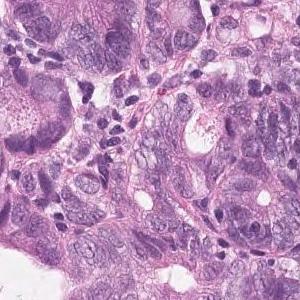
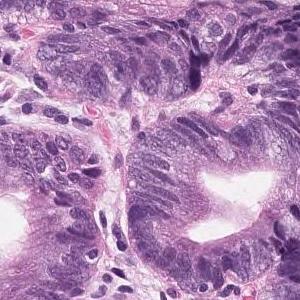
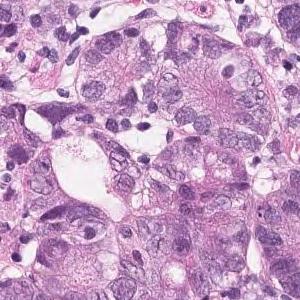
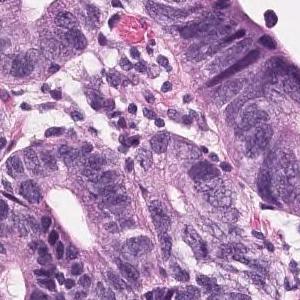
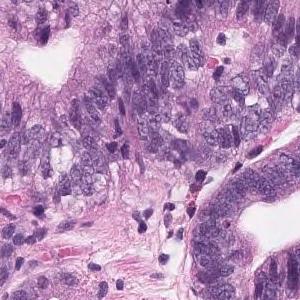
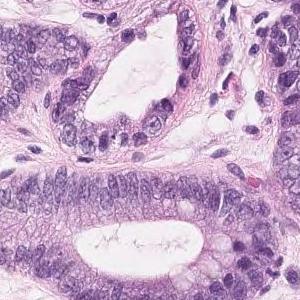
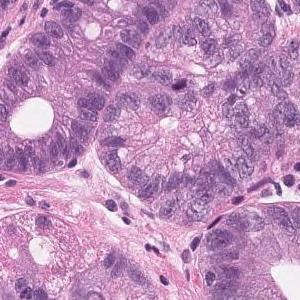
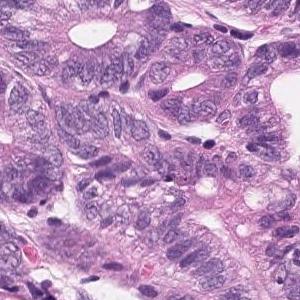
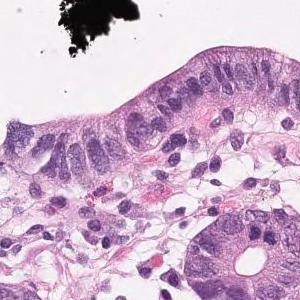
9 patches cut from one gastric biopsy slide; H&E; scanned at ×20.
Report on the slide these tiles come from. The report and the diagnosis cover the entire slide, so not every feature they name need be visible here, and some tissue shown may not be tumor.
Atypical ducts with severe atypia are densely populated in the superficial epithelium, and tumor tissue with hyperplasia is observed. Well differentiated tubular adenocarcinoma
